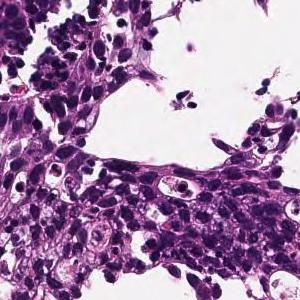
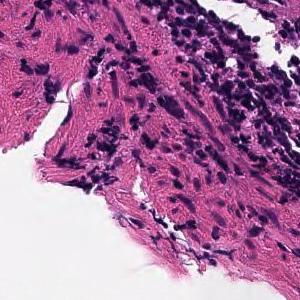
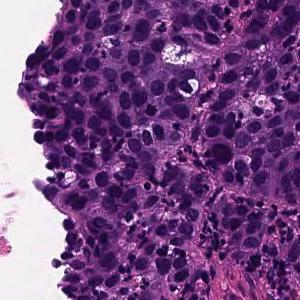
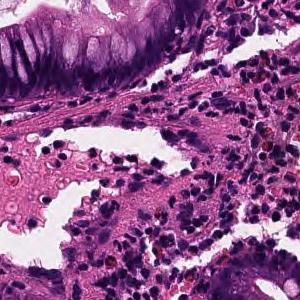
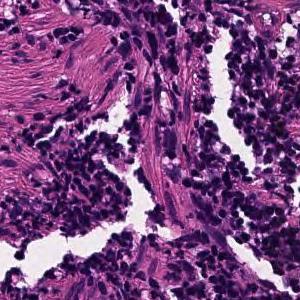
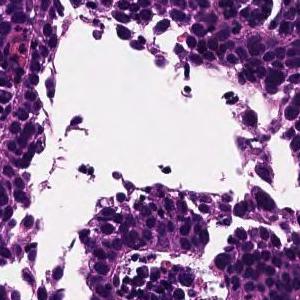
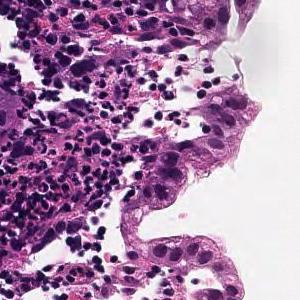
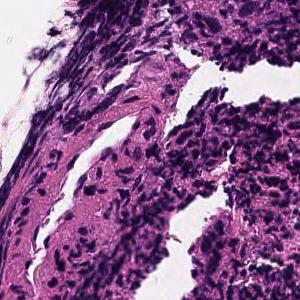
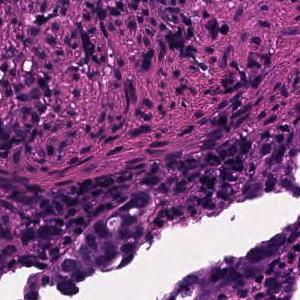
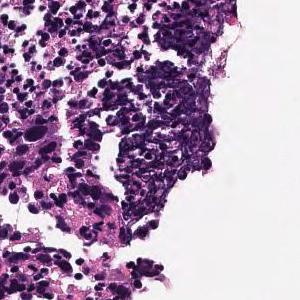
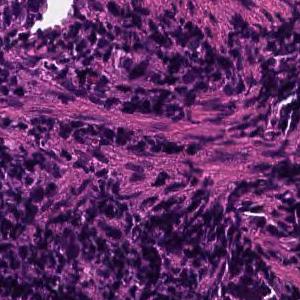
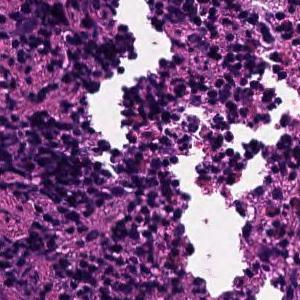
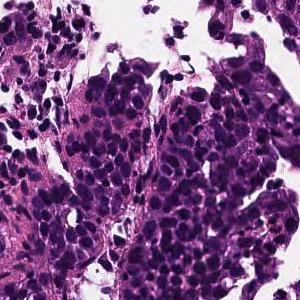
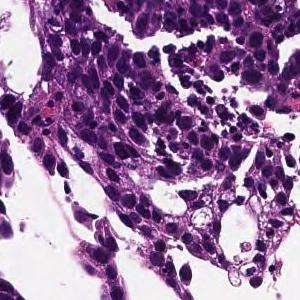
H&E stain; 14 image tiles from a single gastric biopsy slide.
Diagnostic report for the slide these tiles come from. Both the report and the diagnosis are for the whole slide: these tiles need not show every feature named, and some of the tissue shown may not be tumor.
Tumor tissue consisting of cord-like or small, irregular glandular ducts fused and infiltrated is observed in the superficial epithelium. Poorly differentiated adenocarcinoma, non-solid type
"Non-solid type" is a category of the Japanese Classification of Gastric Carcinoma.
